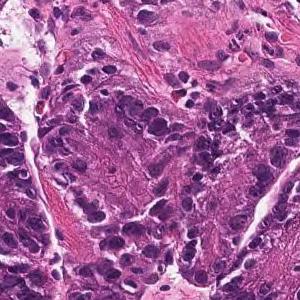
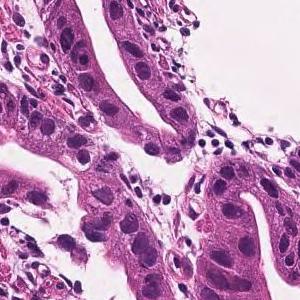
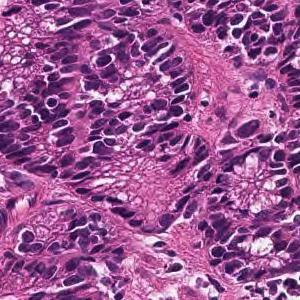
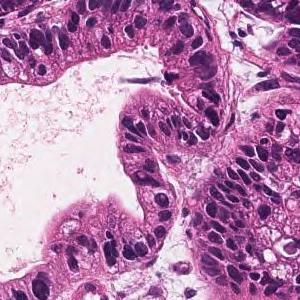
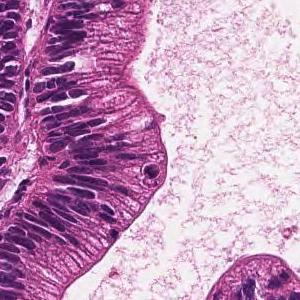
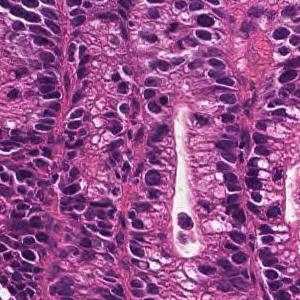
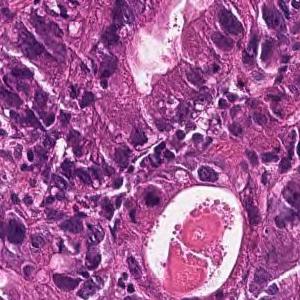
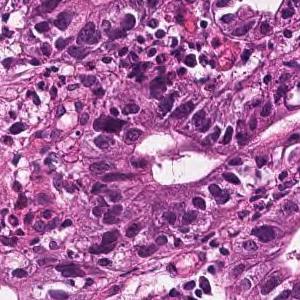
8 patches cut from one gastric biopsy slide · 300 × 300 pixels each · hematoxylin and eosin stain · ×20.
Report on the slide these tiles come from. The report and the diagnosis cover the entire slide, so not every feature they name need be visible here, and some tissue shown may not be tumor.
In the superficial epithelium, tumor tissue that invades by forming medium-sized to small, irregular ducts is observed. moderately differentiated tubular adenocarcinoma.
